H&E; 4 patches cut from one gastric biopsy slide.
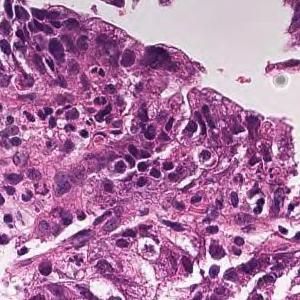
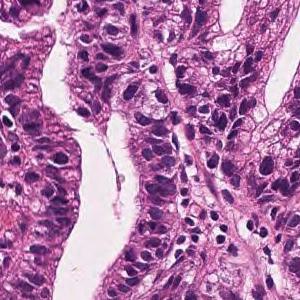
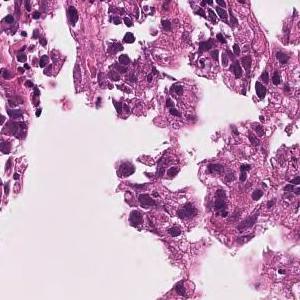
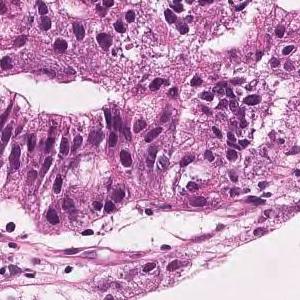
Pathology report for the biopsy slide these tiles were cut from. What the report and the diagnosis say applies to the whole slide; these tiles may miss some of the features named and may include tissue that is not tumor.
On the superficial epithelium, tumor tissue consisting of large, irregular glandular ducts partially fused and infiltrated is observed. Well to moderately differentiated tubular adenocarcinoma (well differentiated tubular adenocarcinoma, moderately differentiated tubular adenocarcinoma)
Classified as well to moderately differentiated tubular adenocarcinoma.
